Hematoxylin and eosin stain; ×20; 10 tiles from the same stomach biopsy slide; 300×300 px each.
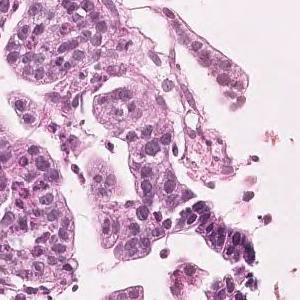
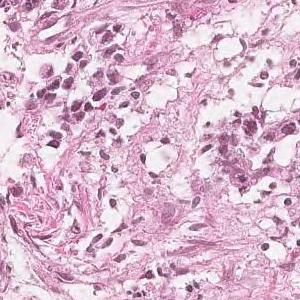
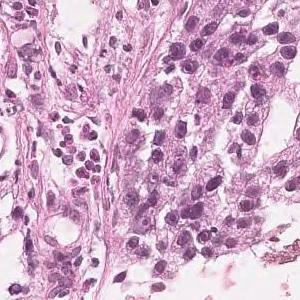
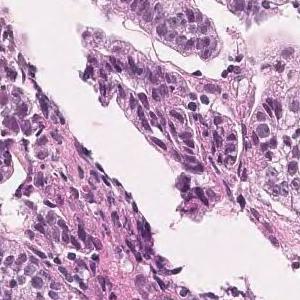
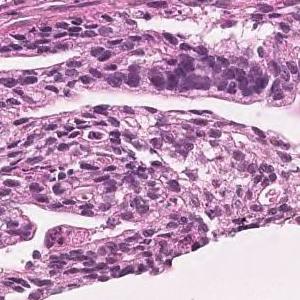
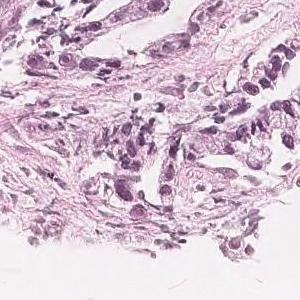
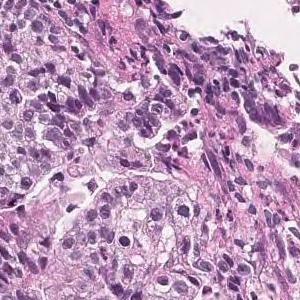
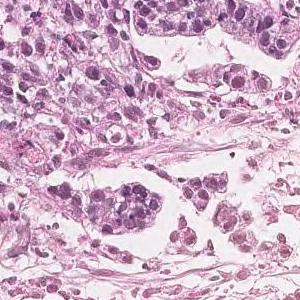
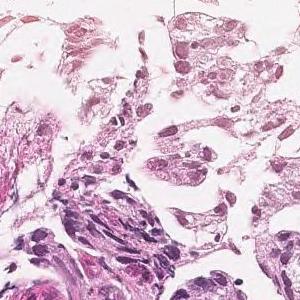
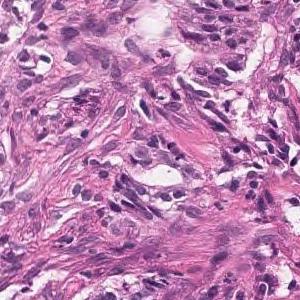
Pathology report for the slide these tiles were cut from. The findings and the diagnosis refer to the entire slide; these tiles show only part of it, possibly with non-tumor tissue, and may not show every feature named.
Tumor tissue in which highly columnar atypical epithelial cells with nuclear enlargement and increased nuclear chromatin show papillary to papillary ductal structure and proliferate is observed. Papillary adenocarcinoma.
